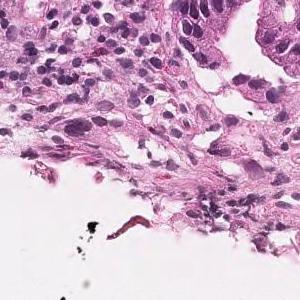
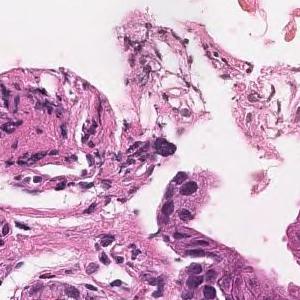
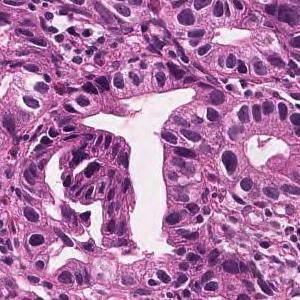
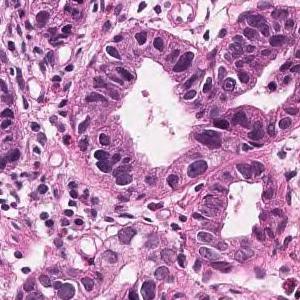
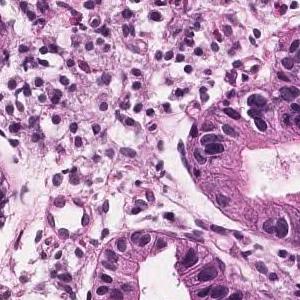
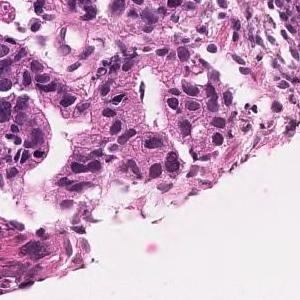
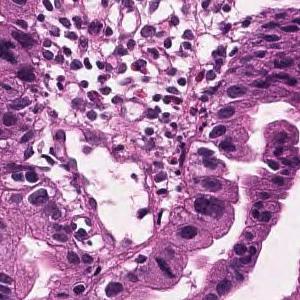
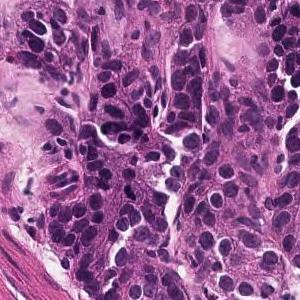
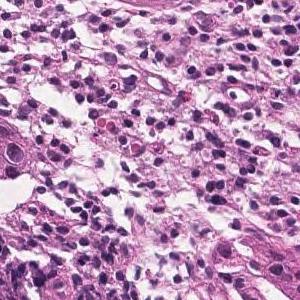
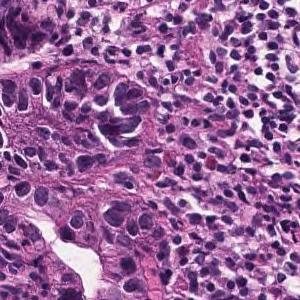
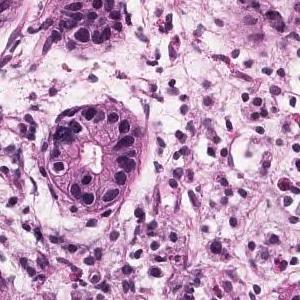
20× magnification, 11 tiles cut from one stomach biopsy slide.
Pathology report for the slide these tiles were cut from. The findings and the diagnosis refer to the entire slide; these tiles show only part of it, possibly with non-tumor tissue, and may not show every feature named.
Tumor tissue consisting of medium-sized and irregular ducts is observed infiltrating in the superficial epithelium. Tumor cells are highly columnar, with nuclei aligned basolaterally and polarized. Well differentiated tubular adenocarcinoma.
